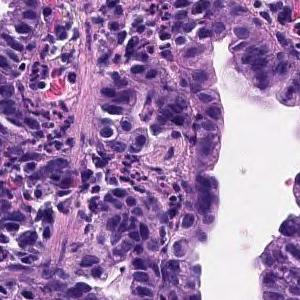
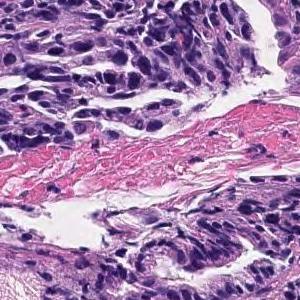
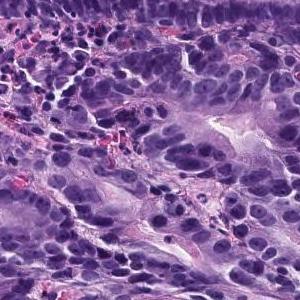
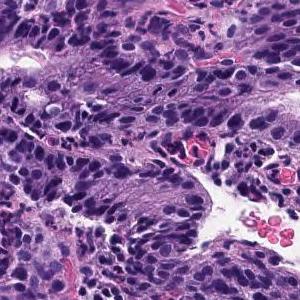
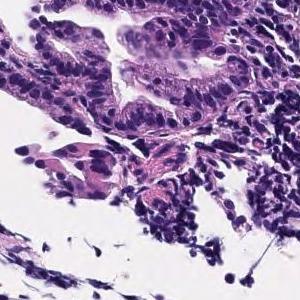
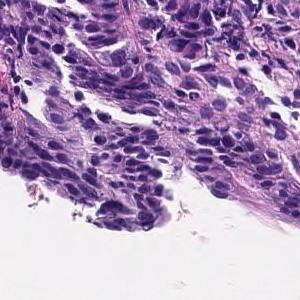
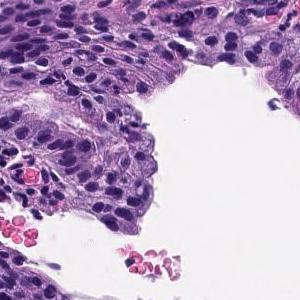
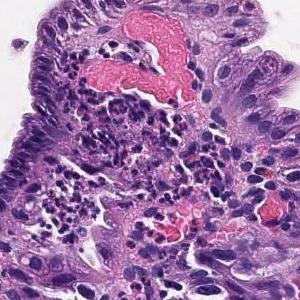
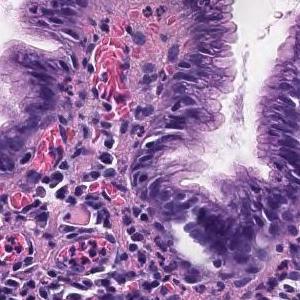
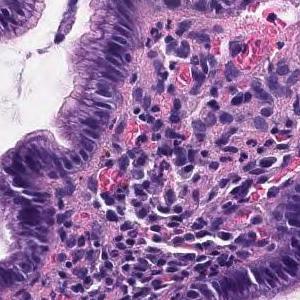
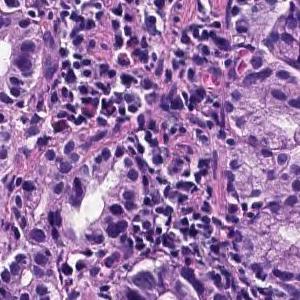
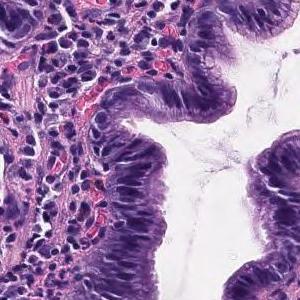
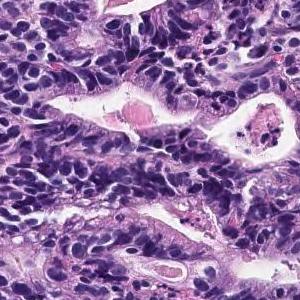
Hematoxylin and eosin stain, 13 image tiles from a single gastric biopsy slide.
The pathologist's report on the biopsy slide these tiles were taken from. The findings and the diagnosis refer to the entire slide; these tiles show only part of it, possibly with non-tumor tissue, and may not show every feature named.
The superficial tumors shows large papillary structures or large and small ducts and infiltrates. Papillary adenocarcinoma.
